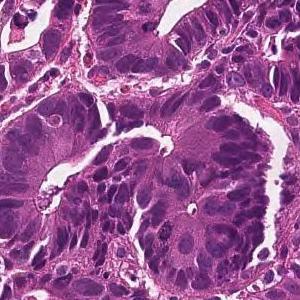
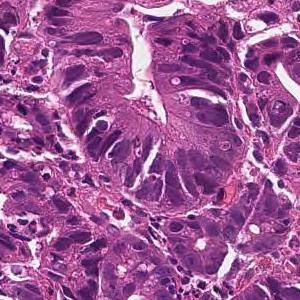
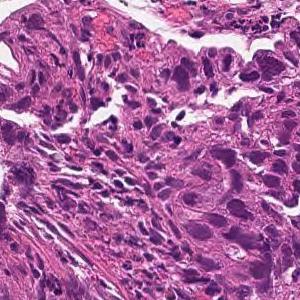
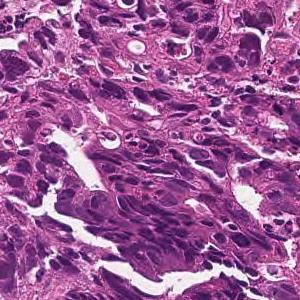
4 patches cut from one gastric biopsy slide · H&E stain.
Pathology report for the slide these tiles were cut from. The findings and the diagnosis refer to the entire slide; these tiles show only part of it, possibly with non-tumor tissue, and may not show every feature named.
From the superficial epithelium to the muscularis mucosae, tumor tissue consisting of medium-sized and irregular glandular ducts infiltrating is observed. Well differentiated tubular adenocarcinoma
